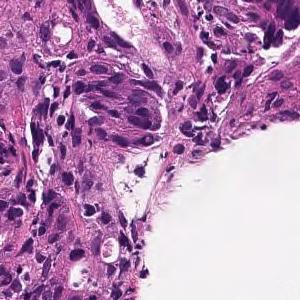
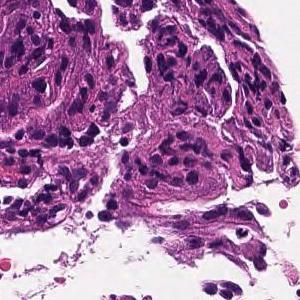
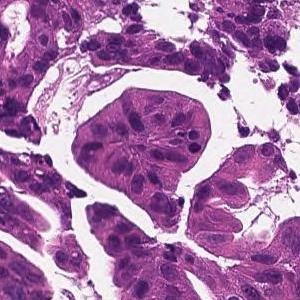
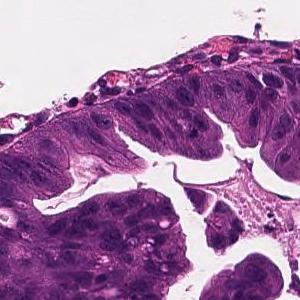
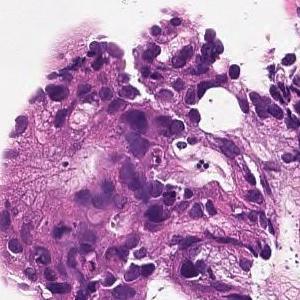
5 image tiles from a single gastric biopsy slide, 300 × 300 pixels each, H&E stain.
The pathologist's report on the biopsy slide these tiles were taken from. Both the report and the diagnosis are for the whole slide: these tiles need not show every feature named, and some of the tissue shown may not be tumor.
On the superficial epithelium, tumor tissue is found in which medium-sized irregular gland ducts fuse with each other and infiltrate. moderately differentiated tubular adenocarcinoma
